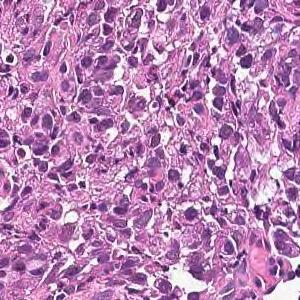
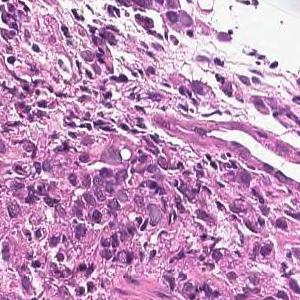
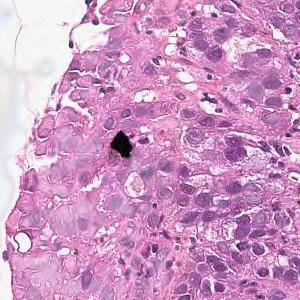
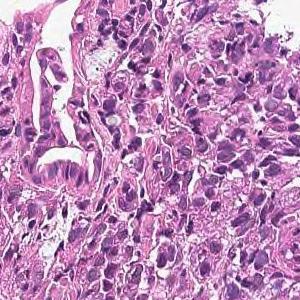
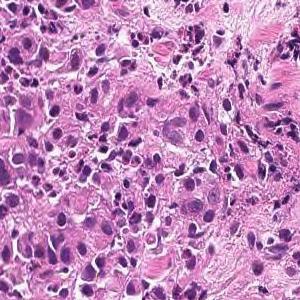
H&E stain · 5 tiles from the same stomach biopsy slide · 300 × 300 pixels each.
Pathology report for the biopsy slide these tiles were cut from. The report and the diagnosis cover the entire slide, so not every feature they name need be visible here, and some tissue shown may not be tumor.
The superficial epithelium shows a large sheet-like shape, and some tumor tissue infiltrates with small irregular ducts. Poorly differentiated adenocarcinoma, solid-type
Histological subtype: Poorly differentiated adenocarcinoma, solid type. This name comes from the Japanese Classification of Gastric Carcinoma; the WHO 2019 classification calls it tubular adenocarcinoma, poorly differentiated.
